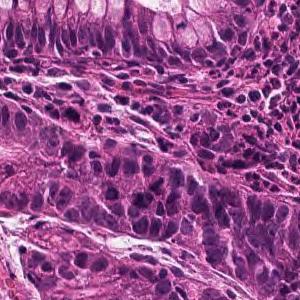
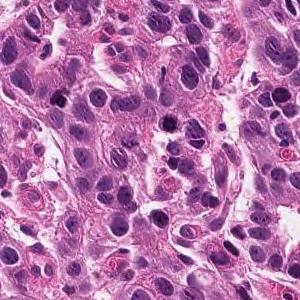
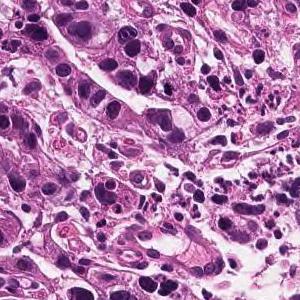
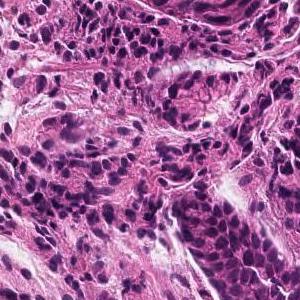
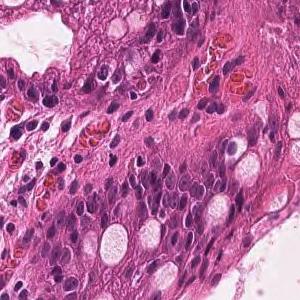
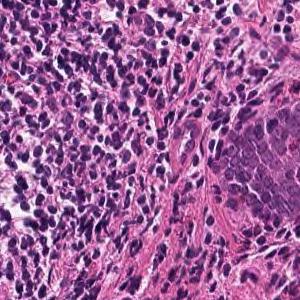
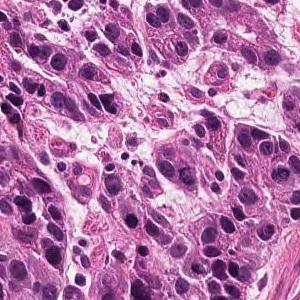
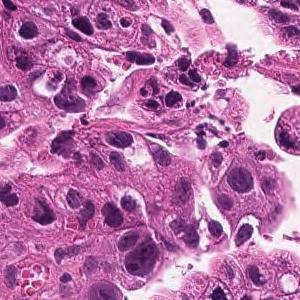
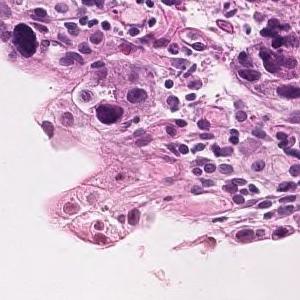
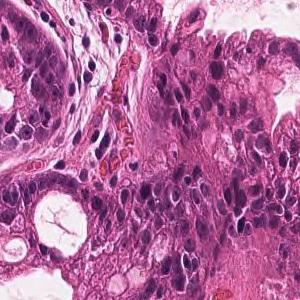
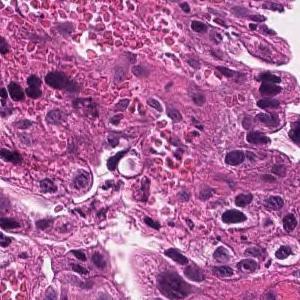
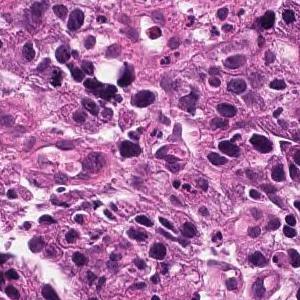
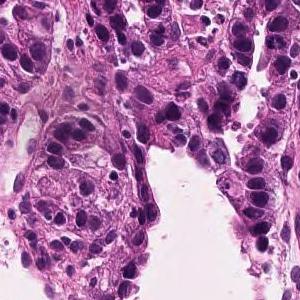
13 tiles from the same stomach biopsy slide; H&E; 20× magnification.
Report on the slide these tiles come from. What the report and the diagnosis say applies to the whole slide; these tiles may miss some of the features named and may include tissue that is not tumor.
Tumor tissue consisting of medium-sized, cord-like or irregular glandular infiltration is observed in the superficial epithelium. Poorly differentiated adenocarcinoma, non-solid type or moderately differentiated tubular adenocarcinoma
Tumor subtype: moderately to poorly differentiated adenocarcinoma.
"Non-solid type" is a category of the Japanese Classification of Gastric Carcinoma.
